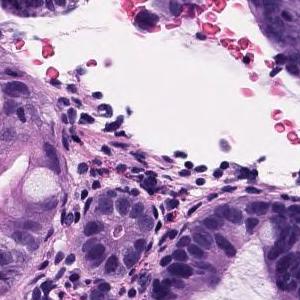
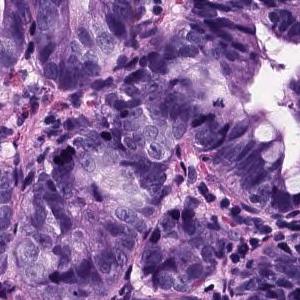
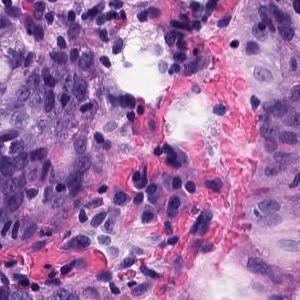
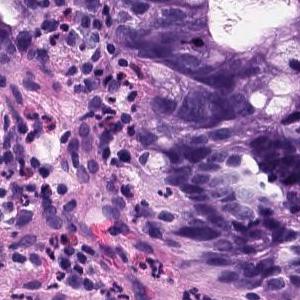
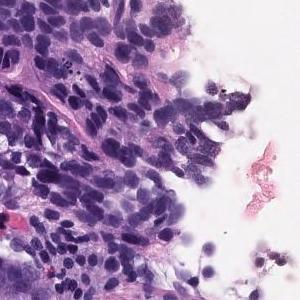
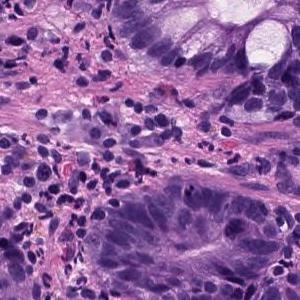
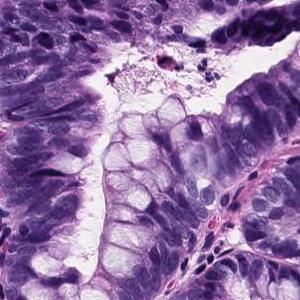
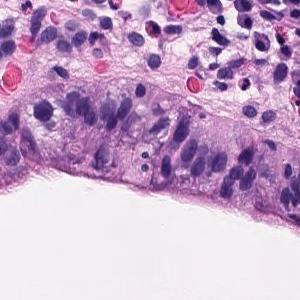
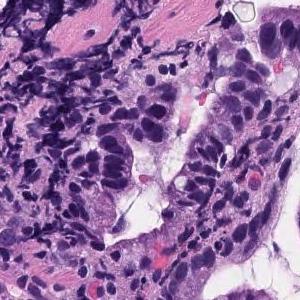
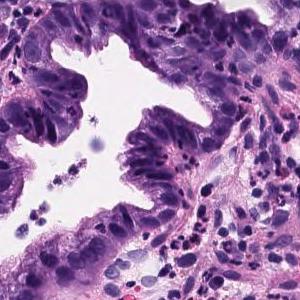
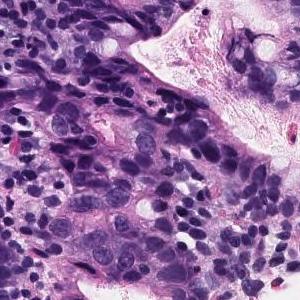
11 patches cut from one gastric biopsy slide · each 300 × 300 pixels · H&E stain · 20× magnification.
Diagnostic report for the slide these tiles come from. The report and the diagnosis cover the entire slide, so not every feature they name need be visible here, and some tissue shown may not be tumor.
Tumor cells with strong nuclear atypia proliferate invasively, forming small to medium-sized irregular shaped ducts. moderately differentiated tubular adenocarcinoma
